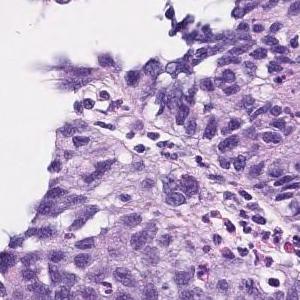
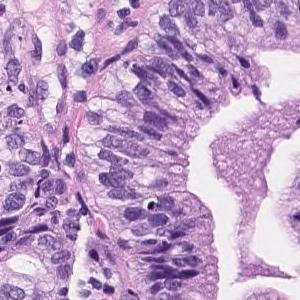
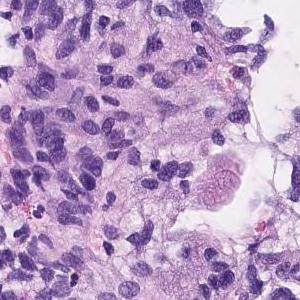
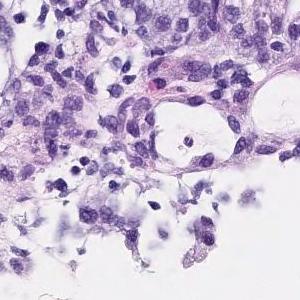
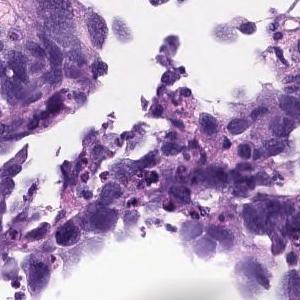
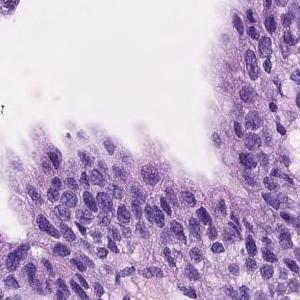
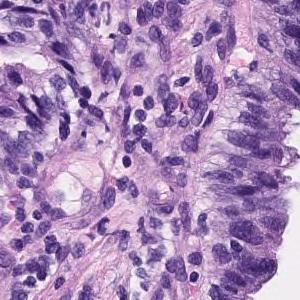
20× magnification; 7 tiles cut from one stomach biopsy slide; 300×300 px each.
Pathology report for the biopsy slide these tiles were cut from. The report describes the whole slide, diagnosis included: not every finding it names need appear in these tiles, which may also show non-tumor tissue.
Tumor cells are large, highly columnar, large club-shaped nuclei, and are associated with chromatin aggregation. Papillary adenocarcinoma.
